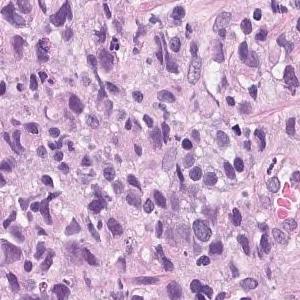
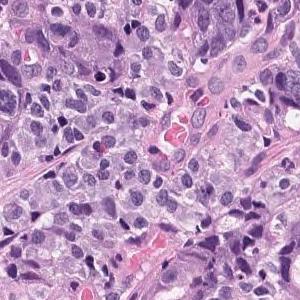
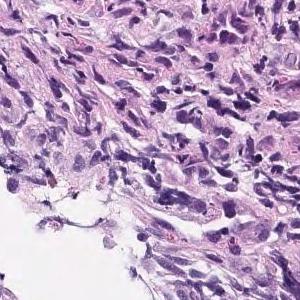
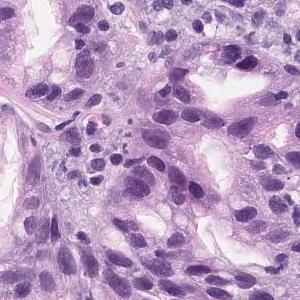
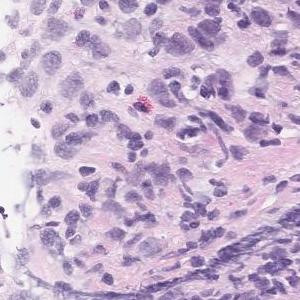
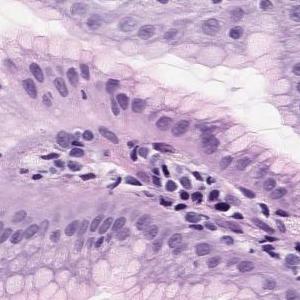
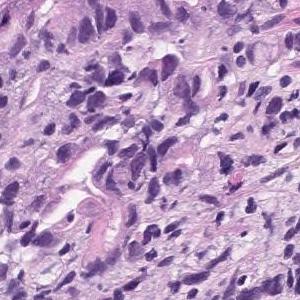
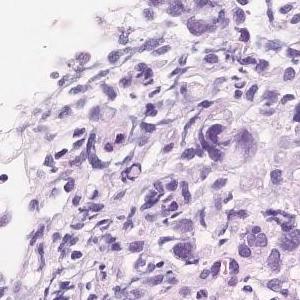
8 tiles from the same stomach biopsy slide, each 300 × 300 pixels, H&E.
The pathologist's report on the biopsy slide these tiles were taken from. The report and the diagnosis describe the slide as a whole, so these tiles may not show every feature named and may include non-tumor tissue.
Tumor tissue consisting of medium-sized, cord-like or irregular glandular infiltration is observed in the superficial epithelium. Poorly differentiated adenocarcinoma, non-solid type or moderately differentiated tubular adenocarcinoma
Labeled in the dataset as poorly differentiated adenocarcinoma, non-solid type.
The term "non-solid type" comes from the Japanese Classification of Gastric Carcinoma.
